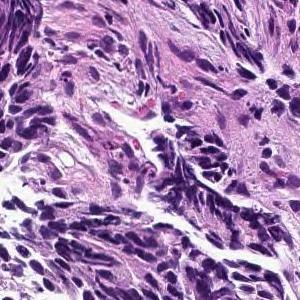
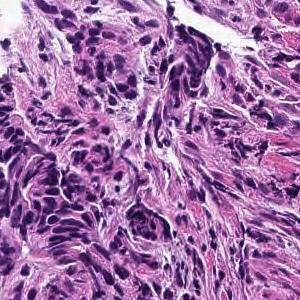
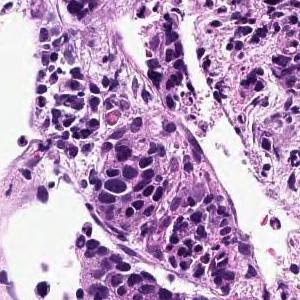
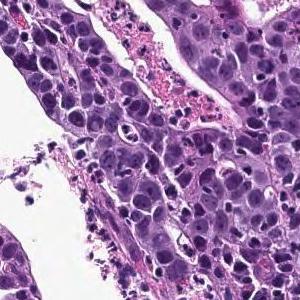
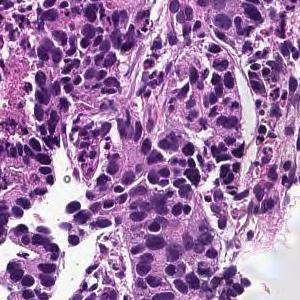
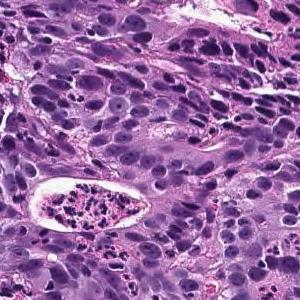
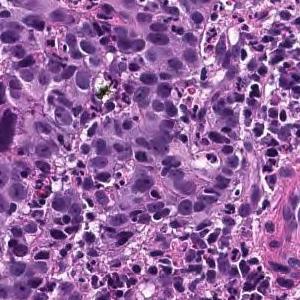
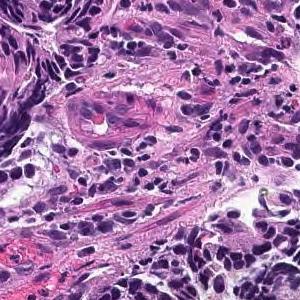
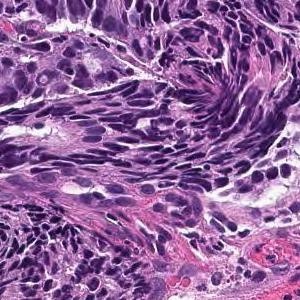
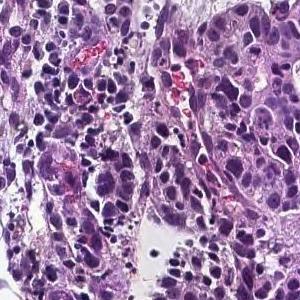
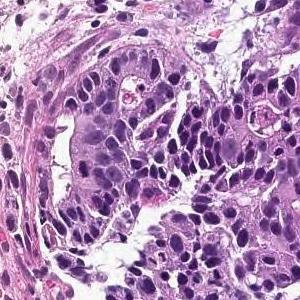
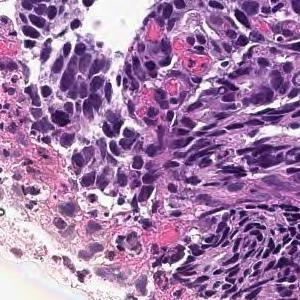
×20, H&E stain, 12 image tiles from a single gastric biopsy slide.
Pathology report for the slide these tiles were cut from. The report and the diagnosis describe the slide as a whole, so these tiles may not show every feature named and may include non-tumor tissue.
In the superficial epithelium, tumor tissue that invades by forming medium-sized to small, irregular ducts is observed. moderately differentiated tubular adenocarcinoma.
